H&E stain · ×20 · 16 tiles cut from one stomach biopsy slide.
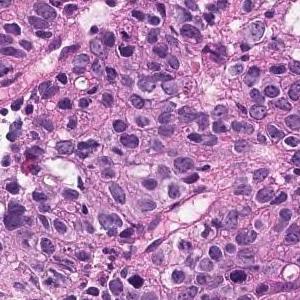
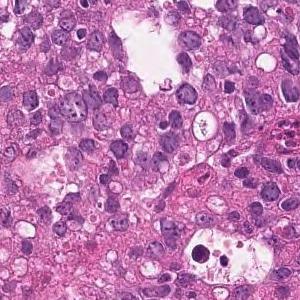
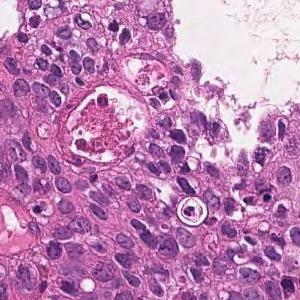
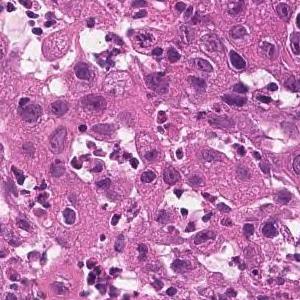
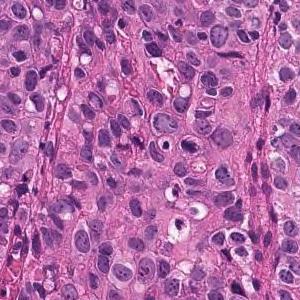
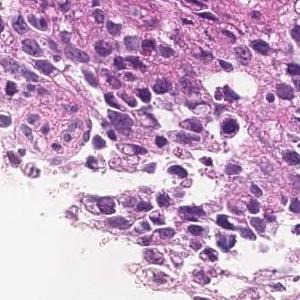
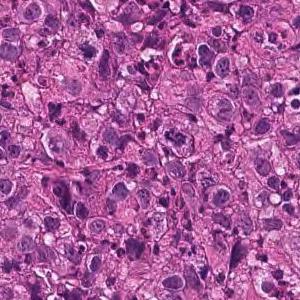
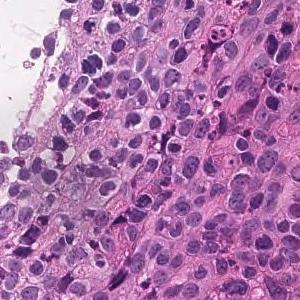
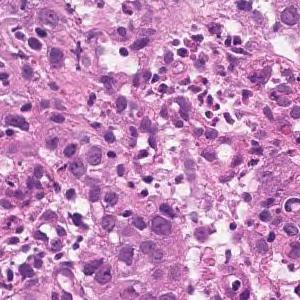
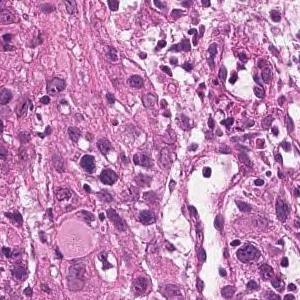
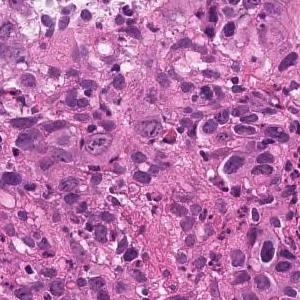
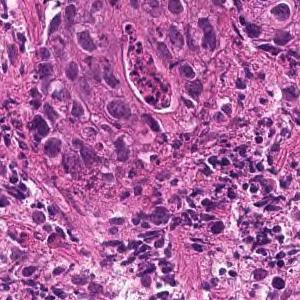
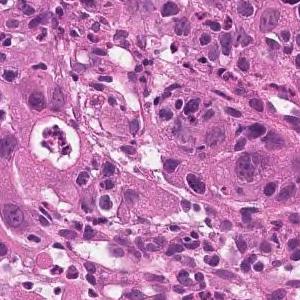
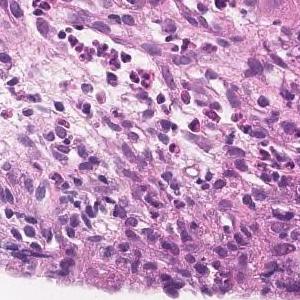
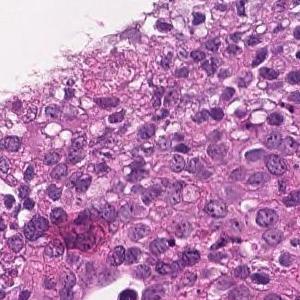
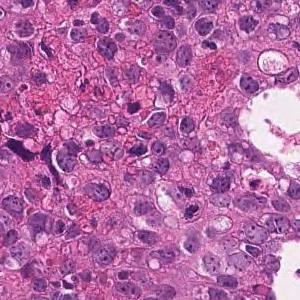
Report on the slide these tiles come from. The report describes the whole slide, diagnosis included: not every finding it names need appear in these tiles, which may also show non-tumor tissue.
The superficial epithelium shows a large sheet-like shape, and some tumor tissue infiltrates with small irregular ducts. Poorly differentiated adenocarcinoma, solid-type
Classified as poorly differentiated adenocarcinoma, solid type. This name comes from the Japanese Classification of Gastric Carcinoma; the WHO 2019 classification calls it tubular adenocarcinoma, poorly differentiated.
